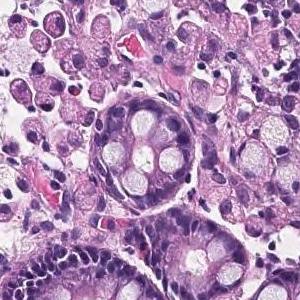
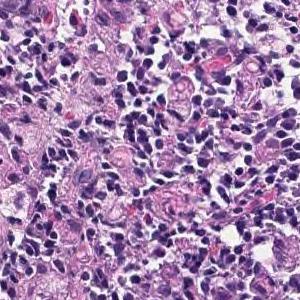
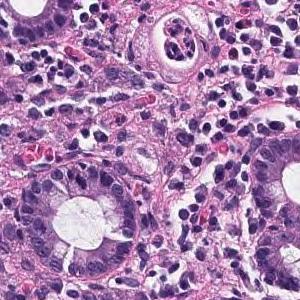
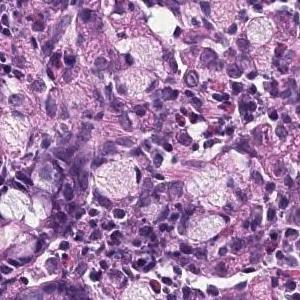
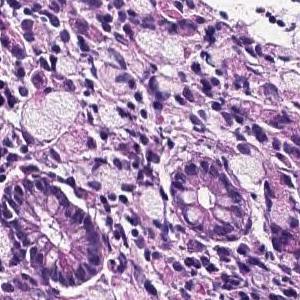
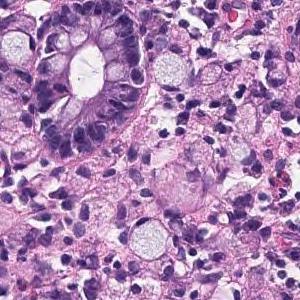
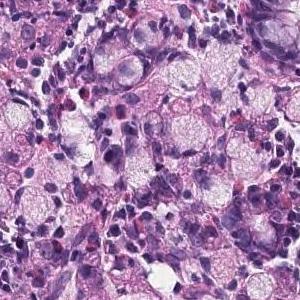
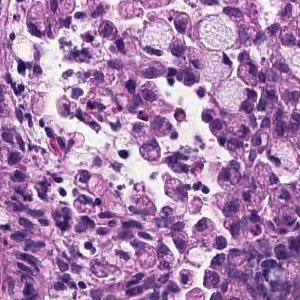
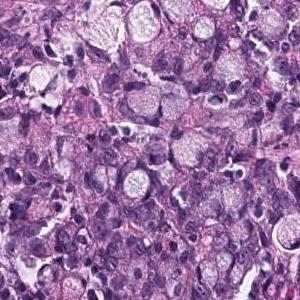
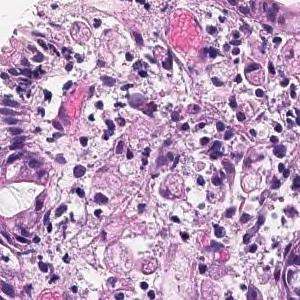
10 tiles from the same stomach biopsy slide · hematoxylin and eosin stain.
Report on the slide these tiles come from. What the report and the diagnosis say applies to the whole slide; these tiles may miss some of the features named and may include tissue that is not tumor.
A tumor tissue consisting of signet ring cell carcinoma cells is observed in the lamina propria. Signet ring cell carcinoma.
